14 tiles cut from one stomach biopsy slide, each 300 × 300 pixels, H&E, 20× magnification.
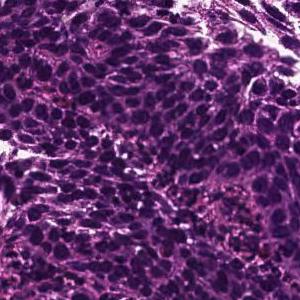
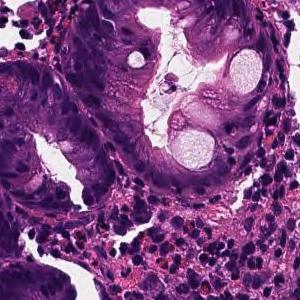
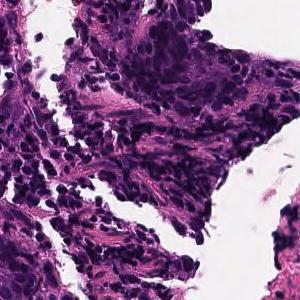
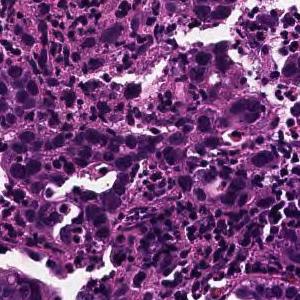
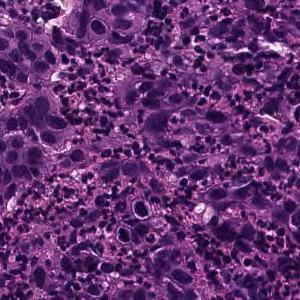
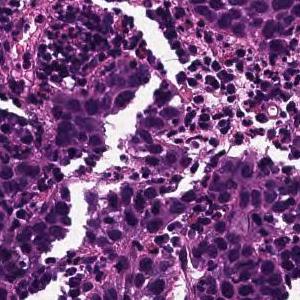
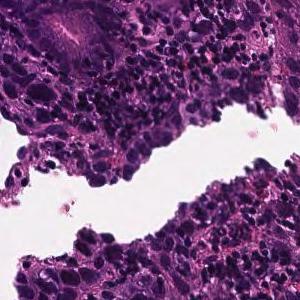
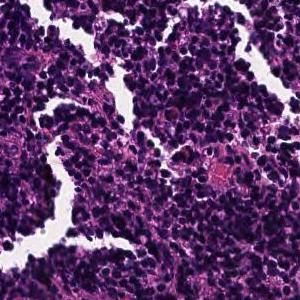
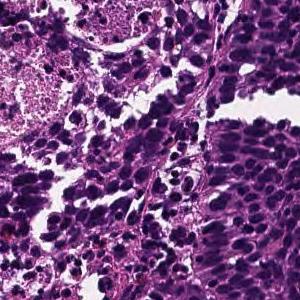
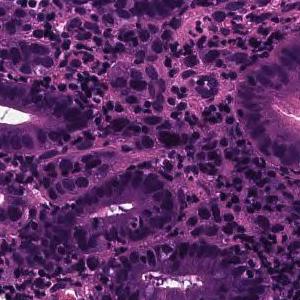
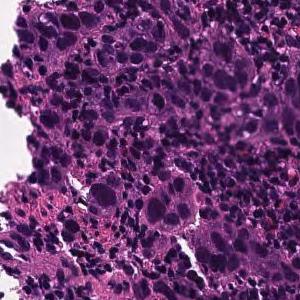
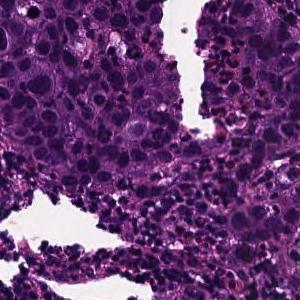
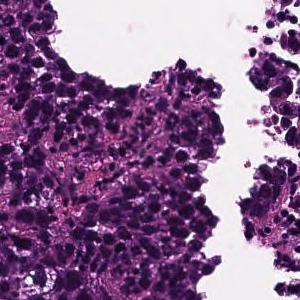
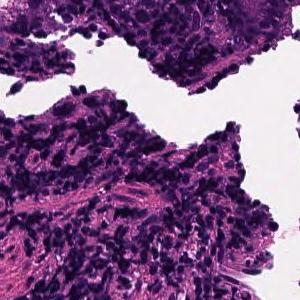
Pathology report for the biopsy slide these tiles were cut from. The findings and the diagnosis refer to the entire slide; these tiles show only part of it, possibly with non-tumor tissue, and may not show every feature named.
Tumor tissue consisting of cord-like or small, irregular glandular ducts fused and infiltrated is observed in the superficial epithelium. Poorly differentiated adenocarcinoma, non-solid type
The term "non-solid type" comes from the Japanese Classification of Gastric Carcinoma.
